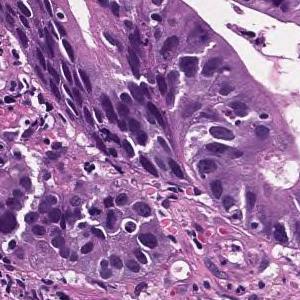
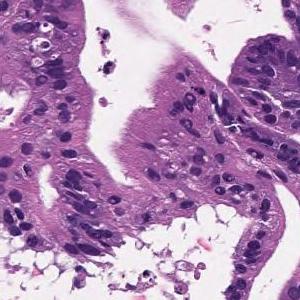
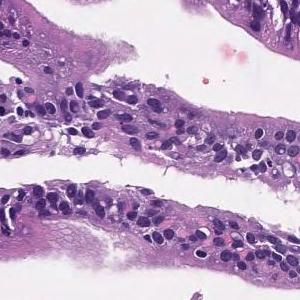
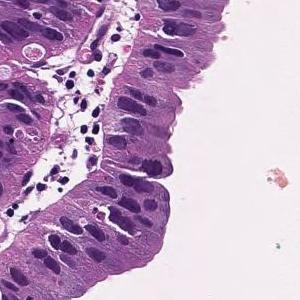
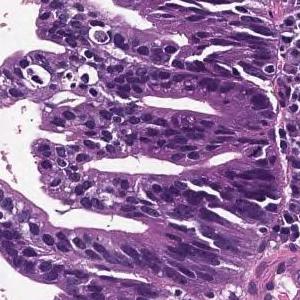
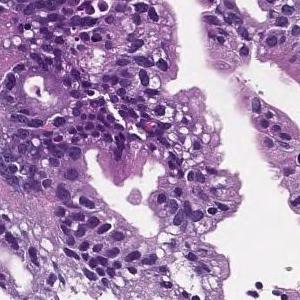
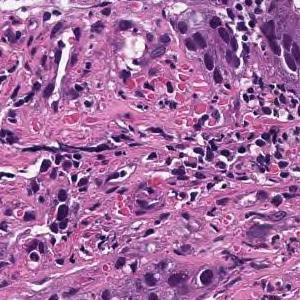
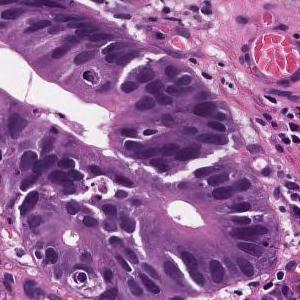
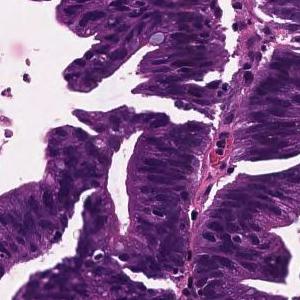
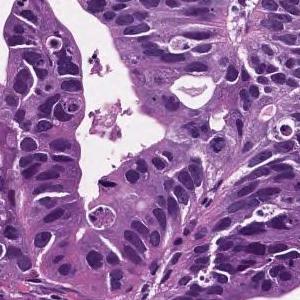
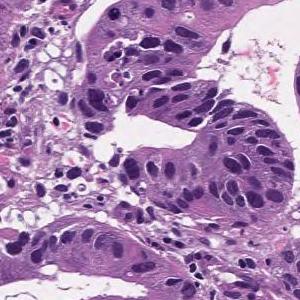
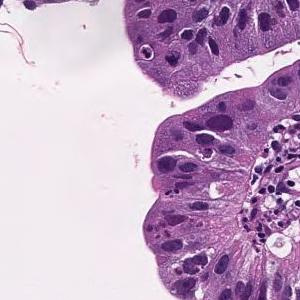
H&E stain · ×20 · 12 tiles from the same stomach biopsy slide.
Report on the slide these tiles come from. What the report and the diagnosis say applies to the whole slide; these tiles may miss some of the features named and may include tissue that is not tumor.
Tumor cells are large, highly columnar, large club-shaped nuclei, and are associated with chromatin aggregation. Papillary adenocarcinoma.
